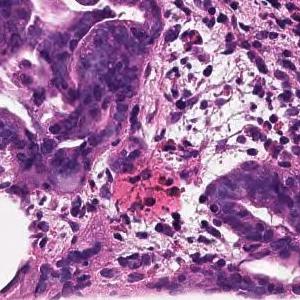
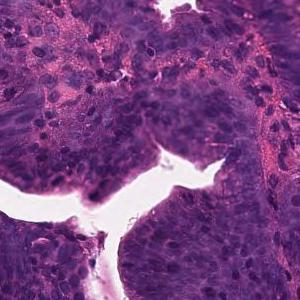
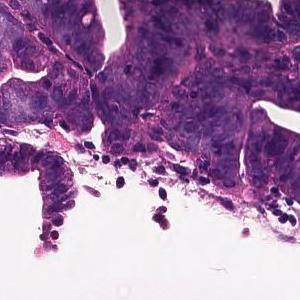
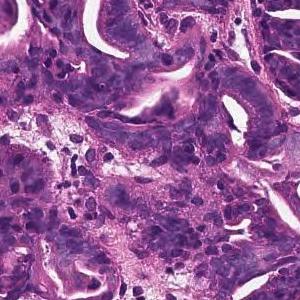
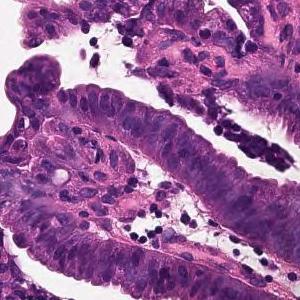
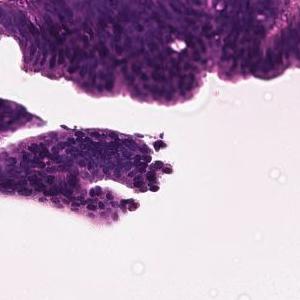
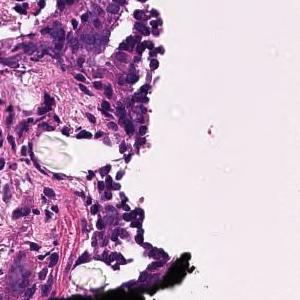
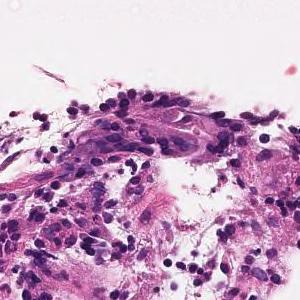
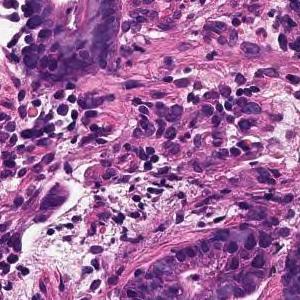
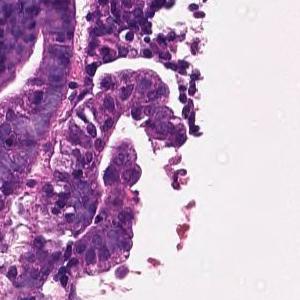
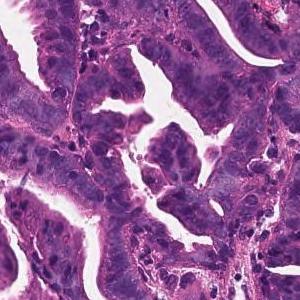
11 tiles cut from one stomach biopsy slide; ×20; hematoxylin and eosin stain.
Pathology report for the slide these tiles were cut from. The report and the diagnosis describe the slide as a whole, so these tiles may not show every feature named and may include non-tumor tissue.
Tumor cells are large, highly columnar, large club-shaped nuclei, and are associated with chromatin aggregation. Papillary adenocarcinoma.
